13 image tiles from a single gastric biopsy slide; 300 × 300 pixels each; ×20; H&E stain.
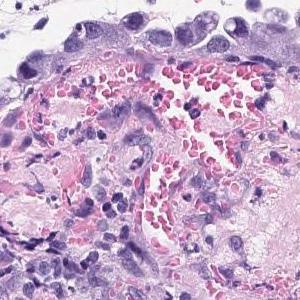
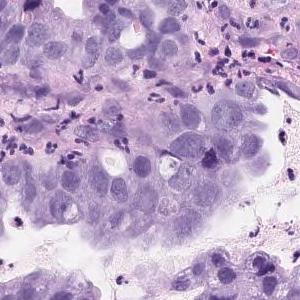
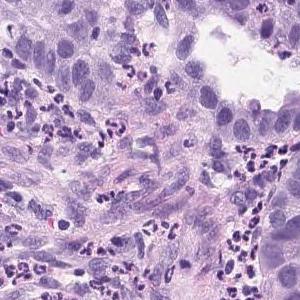
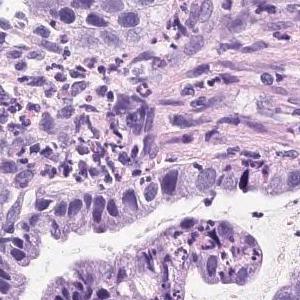
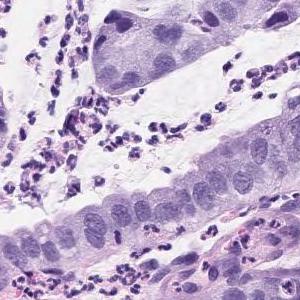
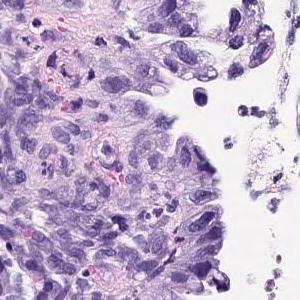
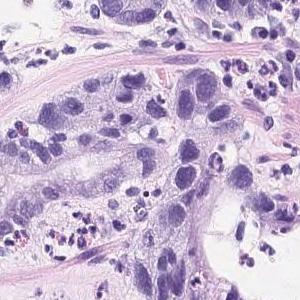
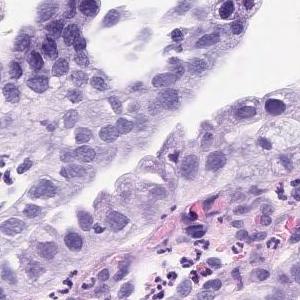
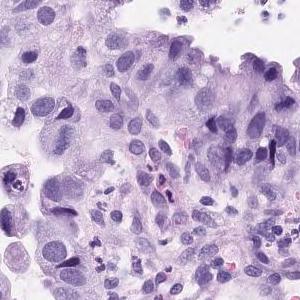
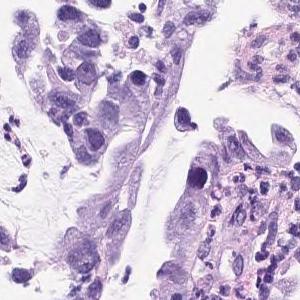
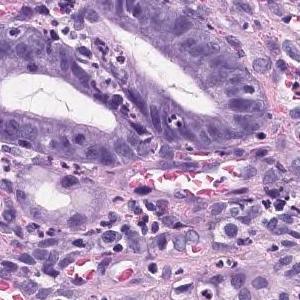
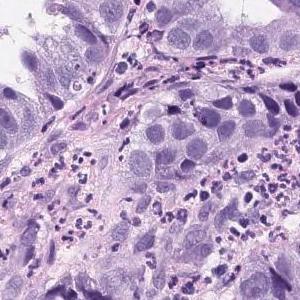
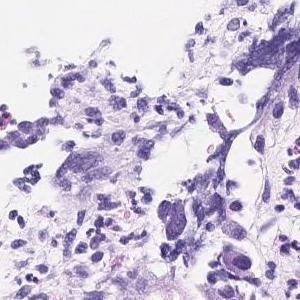
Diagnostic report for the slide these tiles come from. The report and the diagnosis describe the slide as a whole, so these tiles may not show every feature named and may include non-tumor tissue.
Atypical l cells with atypical nuclei forming solid or diffuse vesicles or small irregular atypical ducts and growing in a complex manner. Well differentiated tubular adenocarcinoma
